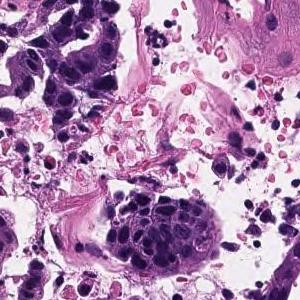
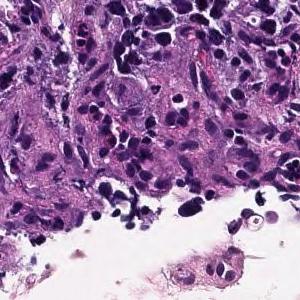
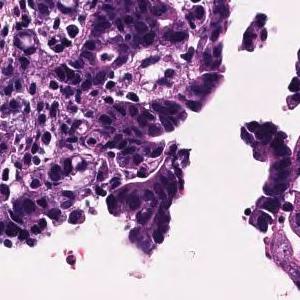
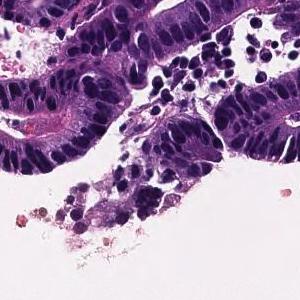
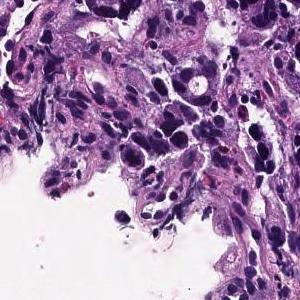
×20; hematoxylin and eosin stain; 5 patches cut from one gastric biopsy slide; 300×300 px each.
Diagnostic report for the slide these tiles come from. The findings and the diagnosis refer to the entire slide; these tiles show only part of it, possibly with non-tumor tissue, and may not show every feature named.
In the superficial epithelium, tumor tissue that invades by forming medium-sized to small, irregular ducts is observed. moderately differentiated tubular adenocarcinoma.
